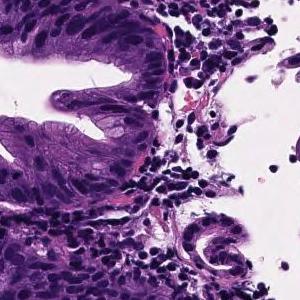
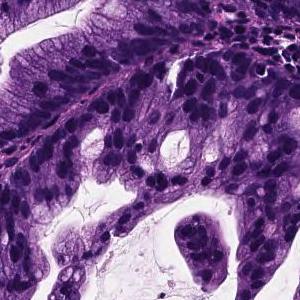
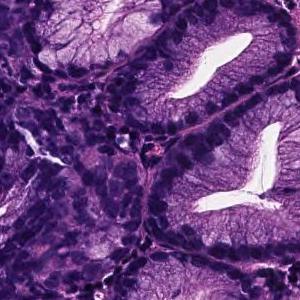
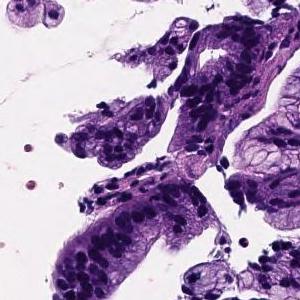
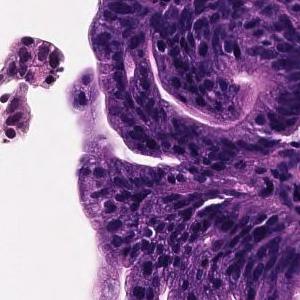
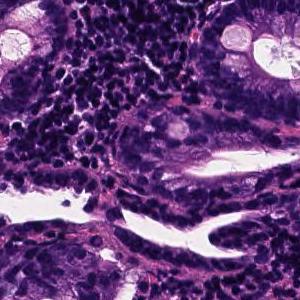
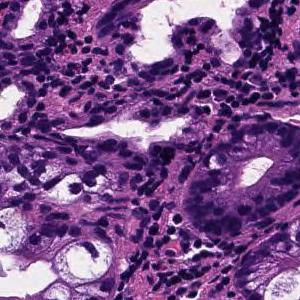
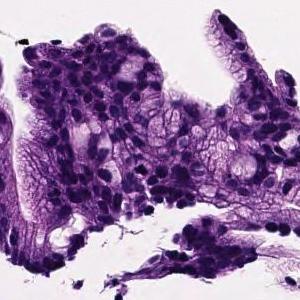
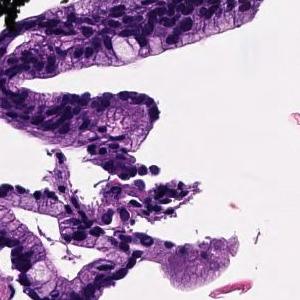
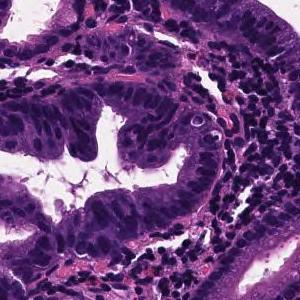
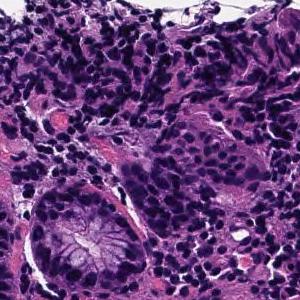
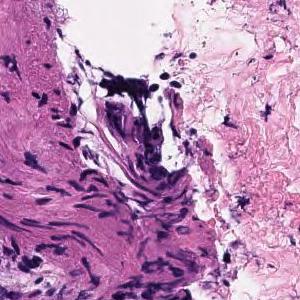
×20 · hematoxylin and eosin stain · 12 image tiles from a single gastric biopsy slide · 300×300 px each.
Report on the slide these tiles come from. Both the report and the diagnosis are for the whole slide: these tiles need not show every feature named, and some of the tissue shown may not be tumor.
On the superficial epithelium, tumor tissue that infiltrates by forming medium-sized papillary or small irregular ducts is observed. Papillary adenocarcinoma
